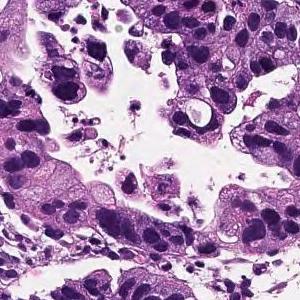
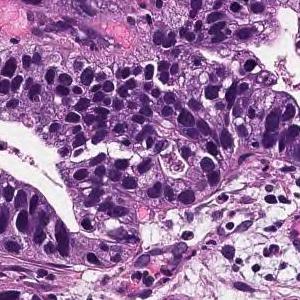
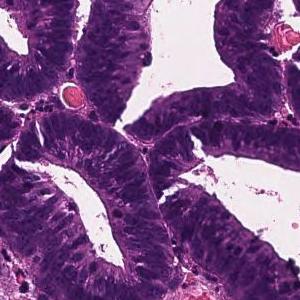
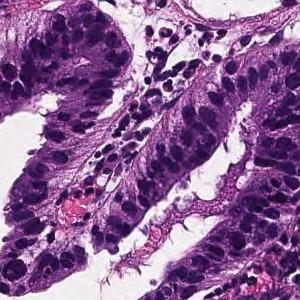
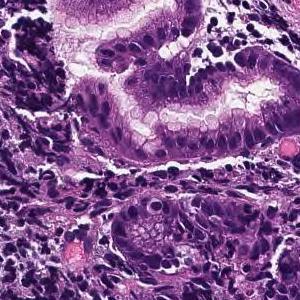
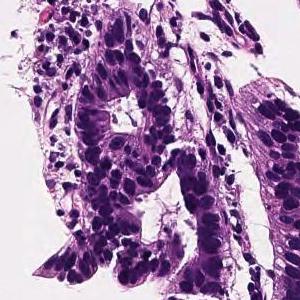
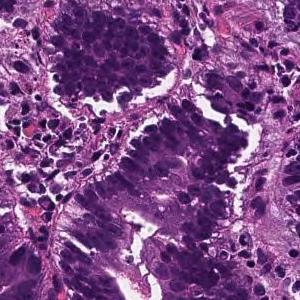
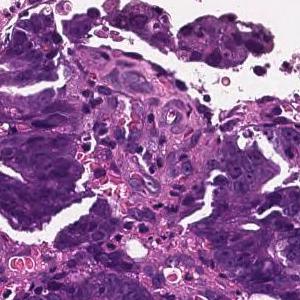
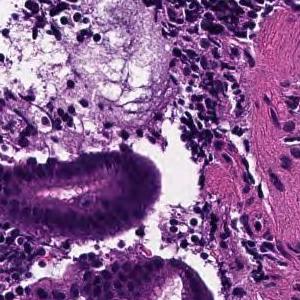
9 patches cut from one gastric biopsy slide · 300 × 300 pixels each · hematoxylin and eosin stain · scanned at ×20.
Diagnostic report for the slide these tiles come from. The report and the diagnosis describe the slide as a whole, so these tiles may not show every feature named and may include non-tumor tissue.
Tumor tissue consisting of large papillary structures is found in the superficial epithelium. Papillary adenocarcinoma.
